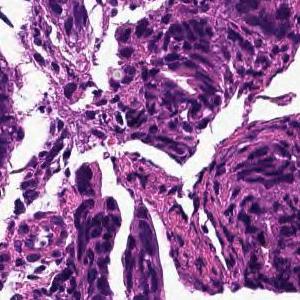
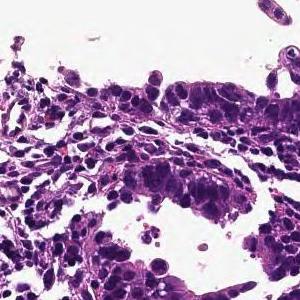
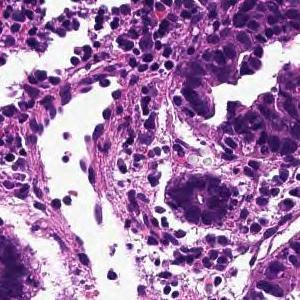
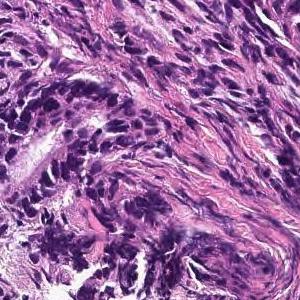
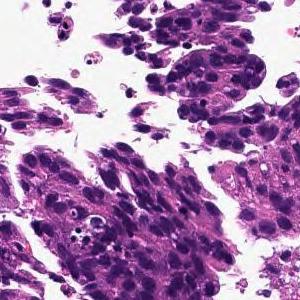
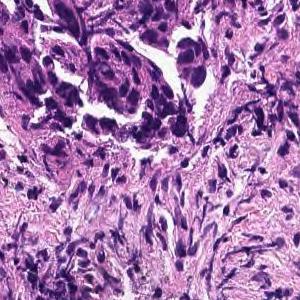
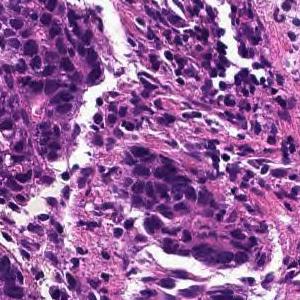
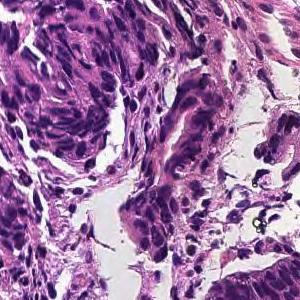
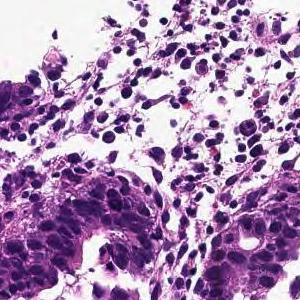
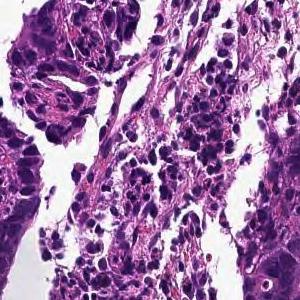
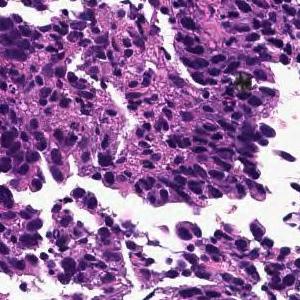
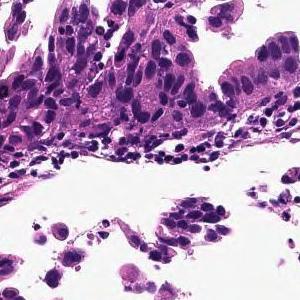
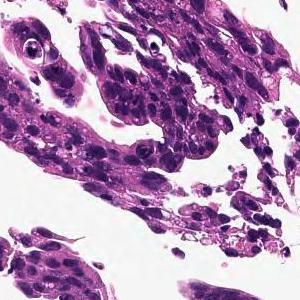
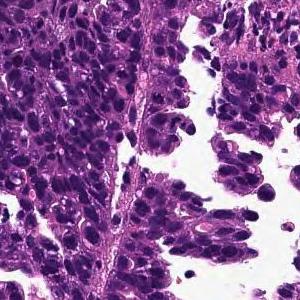
Hematoxylin and eosin stain · 14 image tiles from a single gastric biopsy slide · each 300 × 300 pixels.
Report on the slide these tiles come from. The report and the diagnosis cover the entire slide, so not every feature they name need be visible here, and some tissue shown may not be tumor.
In the superficial epithelium, tumor tissue that invades by forming medium-sized to small, irregular ducts is observed. moderately differentiated tubular adenocarcinoma.
